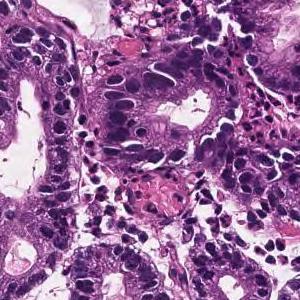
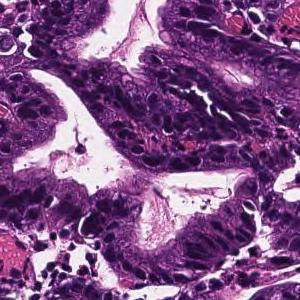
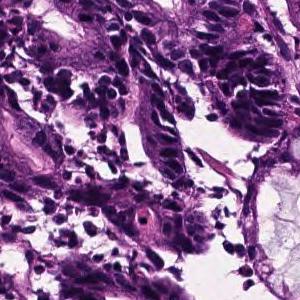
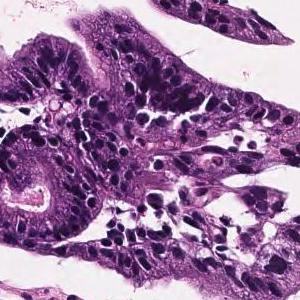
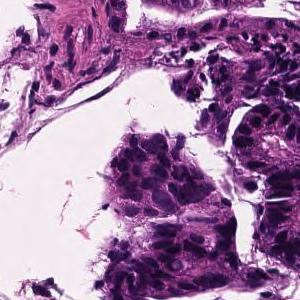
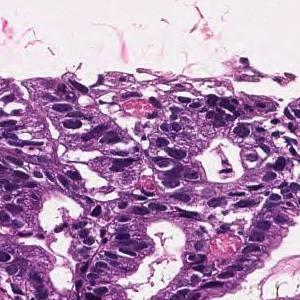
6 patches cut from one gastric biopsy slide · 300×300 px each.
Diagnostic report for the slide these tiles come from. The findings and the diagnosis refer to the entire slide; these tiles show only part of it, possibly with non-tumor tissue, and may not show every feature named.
On the superficial epithelium, tumor tissue that infiltrates by forming medium-sized papillary or small irregular ducts is observed. Papillary adenocarcinoma
